15 patches cut from one gastric biopsy slide.
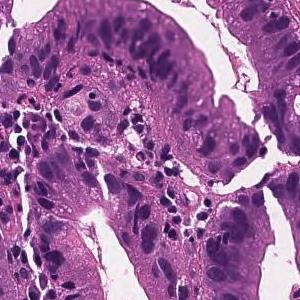
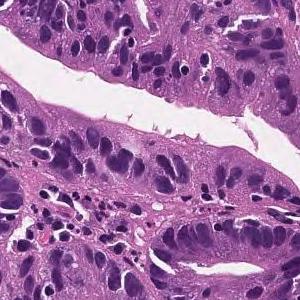
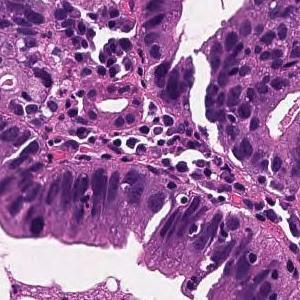
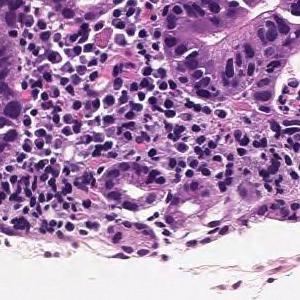
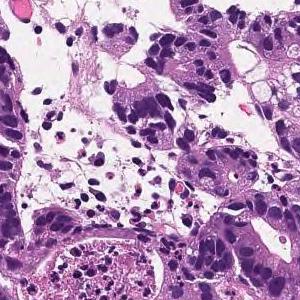
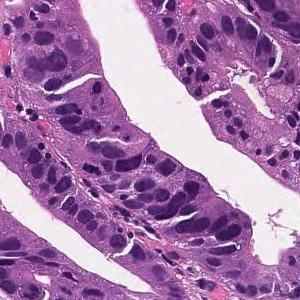
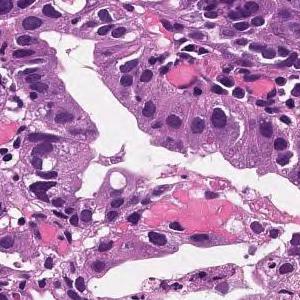
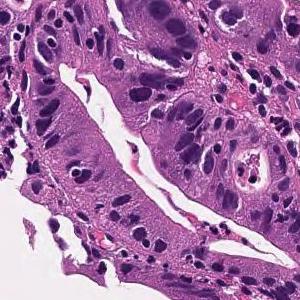
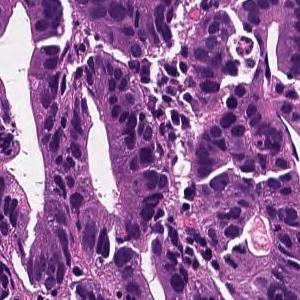
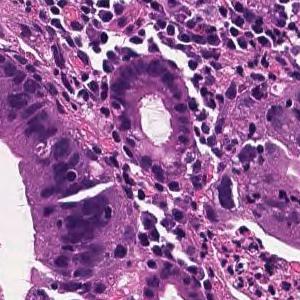
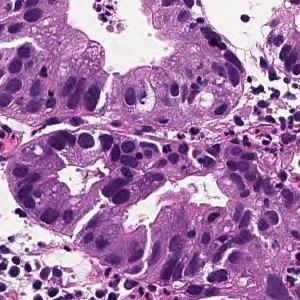
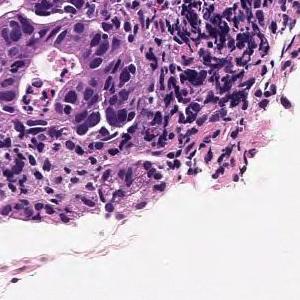
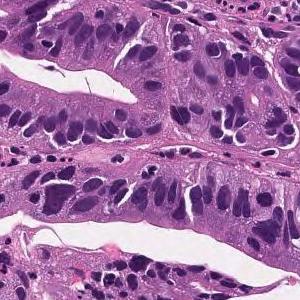
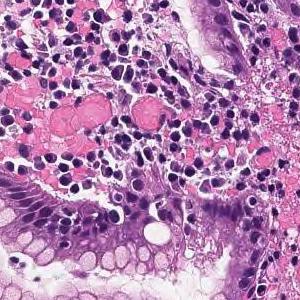
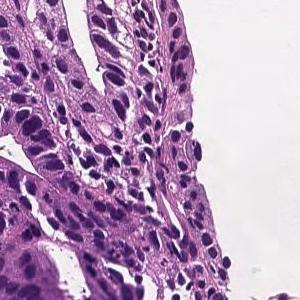
Pathology report for the biopsy slide these tiles were cut from. The report and the diagnosis describe the slide as a whole, so these tiles may not show every feature named and may include non-tumor tissue.
From the superficial epithelium to the muscularis mucosae, tumor tissue consisting of medium-sized and irregular glandular ducts infiltrating is observed. Well differentiated tubular adenocarcinoma
